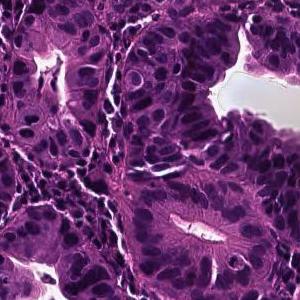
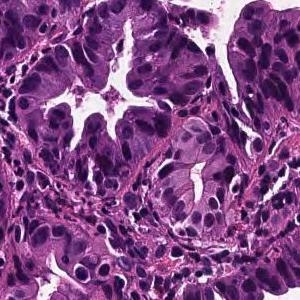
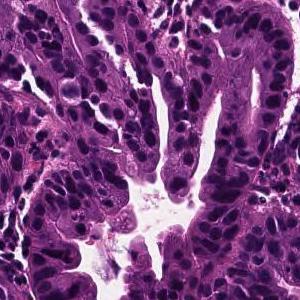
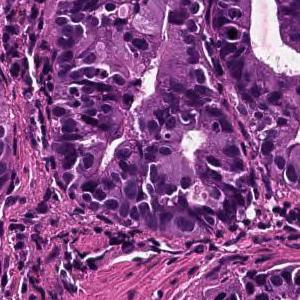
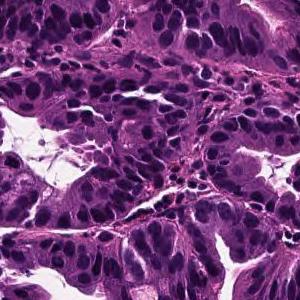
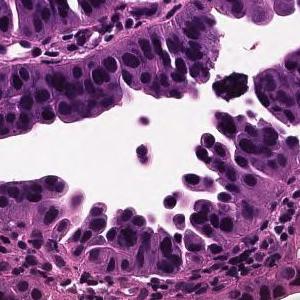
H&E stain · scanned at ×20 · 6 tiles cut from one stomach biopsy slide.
The pathologist's report on the biopsy slide these tiles were taken from. The findings and the diagnosis refer to the entire slide; these tiles show only part of it, possibly with non-tumor tissue, and may not show every feature named.
Tumor cells are large, highly columnar, large club-shaped nuclei, and are associated with chromatin aggregation. Papillary adenocarcinoma.
